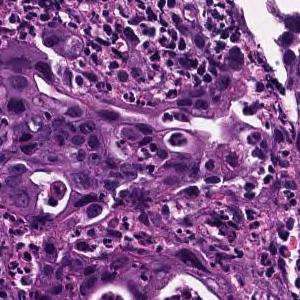
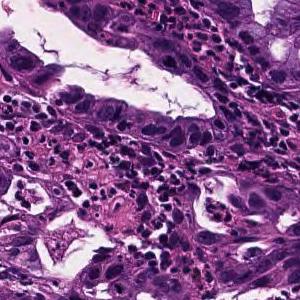
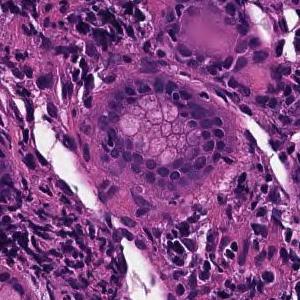
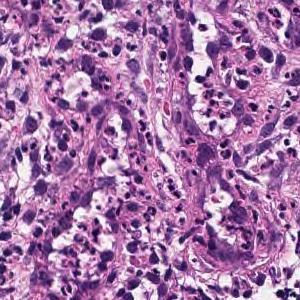
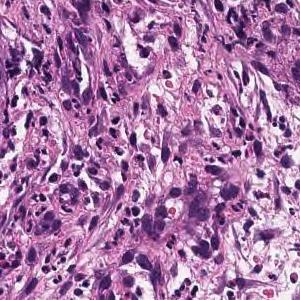
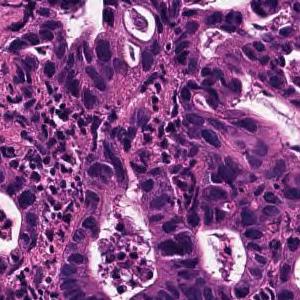
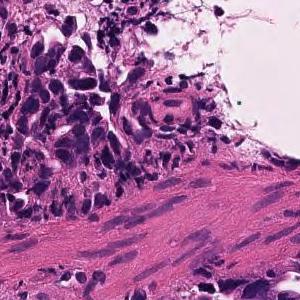
7 patches cut from one gastric biopsy slide, 300×300 px each, 20× magnification, H&E stain.
The pathologist's report on the biopsy slide these tiles were taken from. The report describes the whole slide, diagnosis included: not every finding it names need appear in these tiles, which may also show non-tumor tissue.
In the superficial epithelium, medium-sized to small irregular glandular ducts are formed, and in some cases, the glandular ducts are fused or small cord-like infiltrating tumor tissue is observed. moderately differentiated tubular adenocarcinoma
